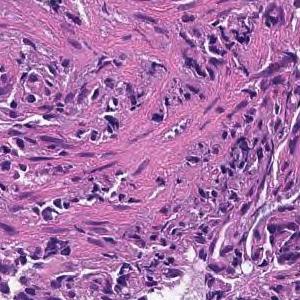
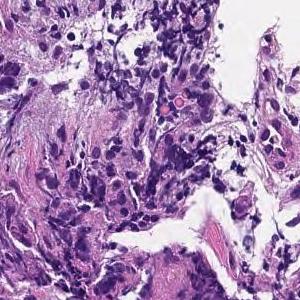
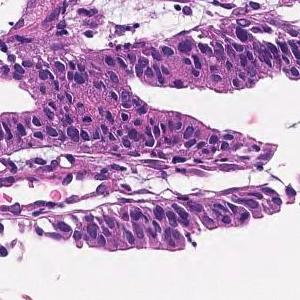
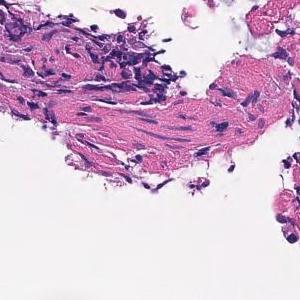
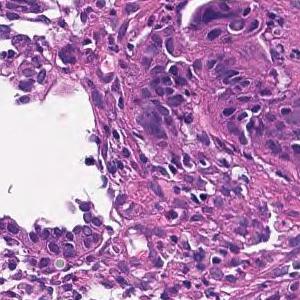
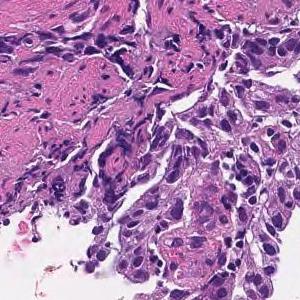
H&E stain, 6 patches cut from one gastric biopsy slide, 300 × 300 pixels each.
Pathology report for the slide these tiles were cut from. The report and the diagnosis cover the entire slide, so not every feature they name need be visible here, and some tissue shown may not be tumor.
On the superficial epithelium, tumor tissue consisting of large, irregular glandular ducts partially fused and infiltrated is observed. Well to moderately differentiated tubular adenocarcinoma (well differentiated tubular adenocarcinoma, moderately differentiated tubular adenocarcinoma)
Classified as well to moderately differentiated tubular adenocarcinoma.
